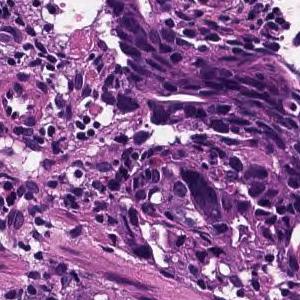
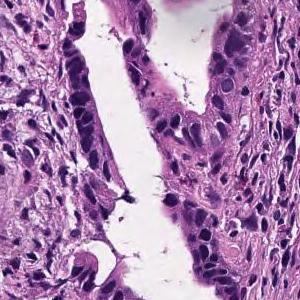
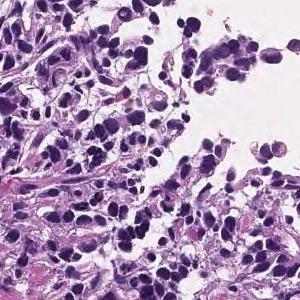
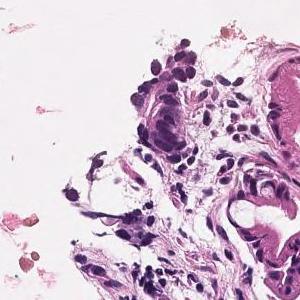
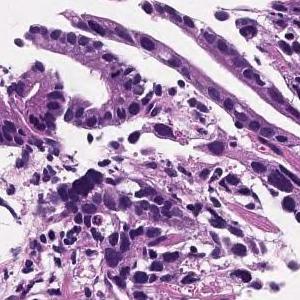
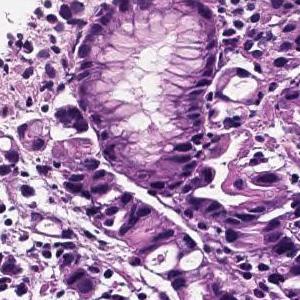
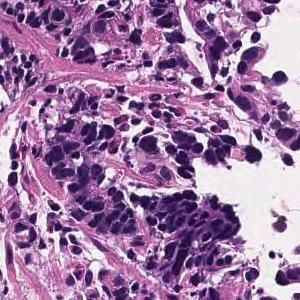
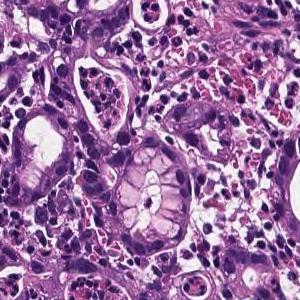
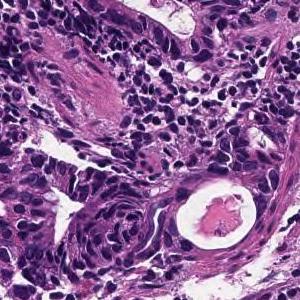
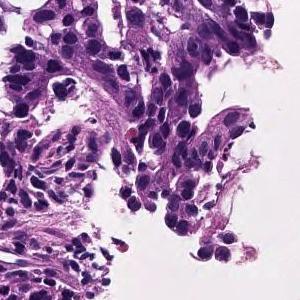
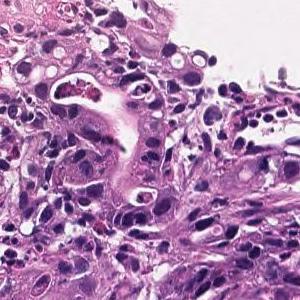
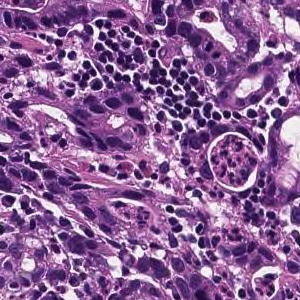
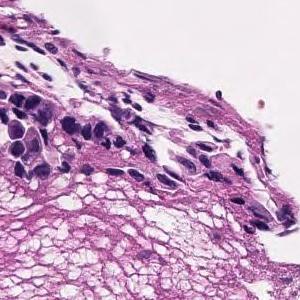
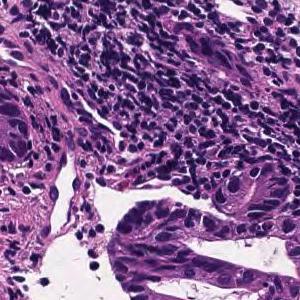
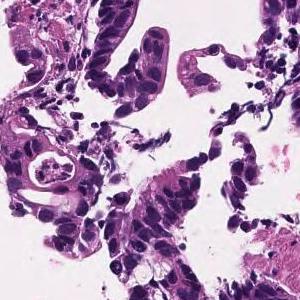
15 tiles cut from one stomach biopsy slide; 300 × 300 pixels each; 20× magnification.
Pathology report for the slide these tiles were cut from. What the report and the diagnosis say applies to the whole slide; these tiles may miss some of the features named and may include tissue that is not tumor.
In the superficial epithelium, tumor tissue that invades by forming medium-sized to small, irregular ducts is observed. moderately differentiated tubular adenocarcinoma.
